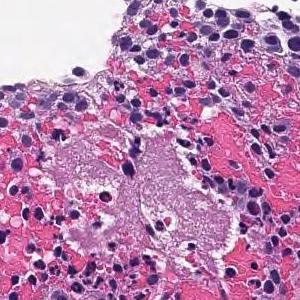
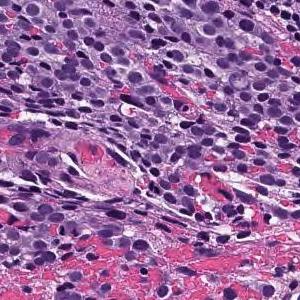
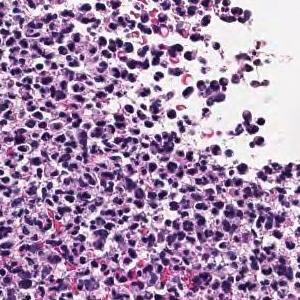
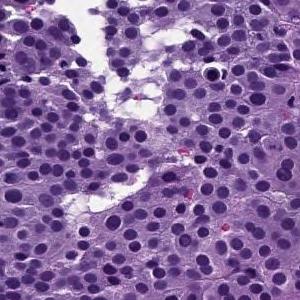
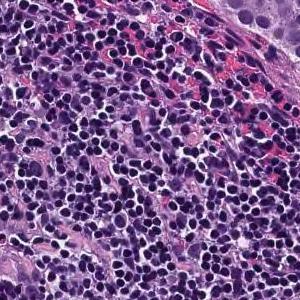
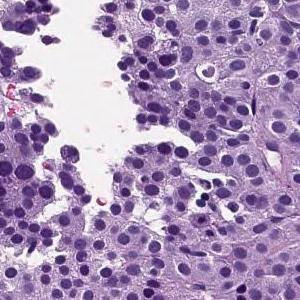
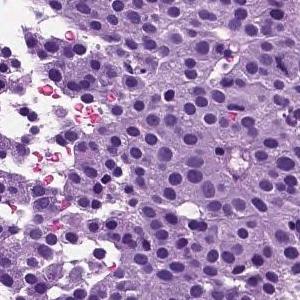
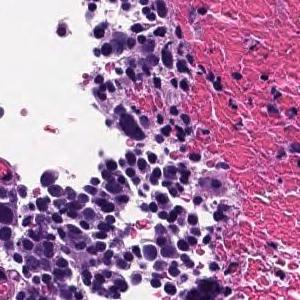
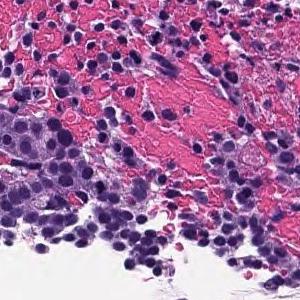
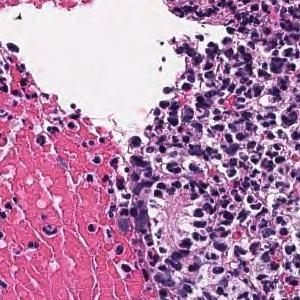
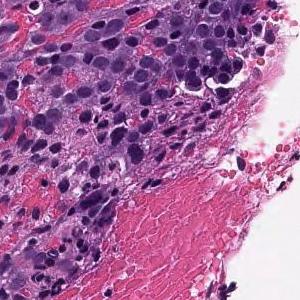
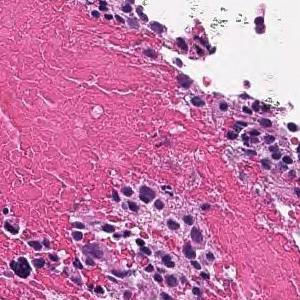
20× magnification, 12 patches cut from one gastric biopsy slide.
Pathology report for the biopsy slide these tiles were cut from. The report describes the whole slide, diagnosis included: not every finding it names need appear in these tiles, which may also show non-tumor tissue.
The superficial epithelium shows a large sheet-like shape, and some tumor tissue infiltrates with small irregular ducts. Poorly differentiated adenocarcinoma, solid-type
Histologic type: Poorly differentiated adenocarcinoma, solid type. This name comes from the Japanese Classification of Gastric Carcinoma; the WHO 2019 classification calls it tubular adenocarcinoma, poorly differentiated.
